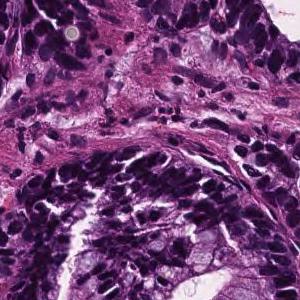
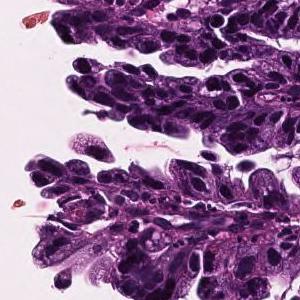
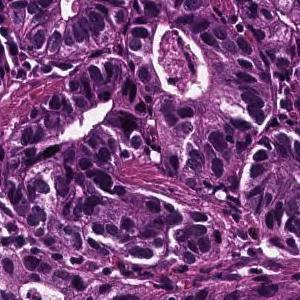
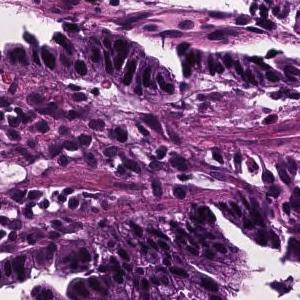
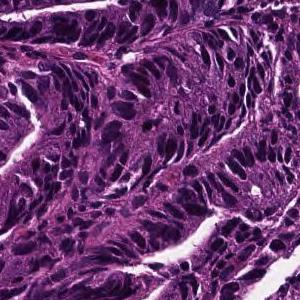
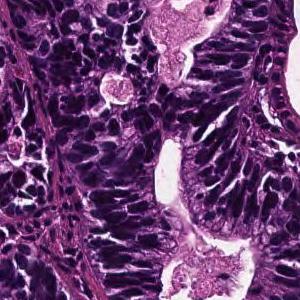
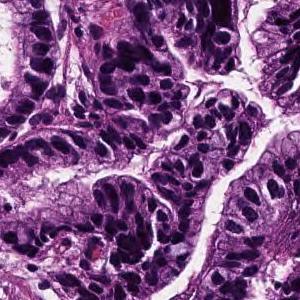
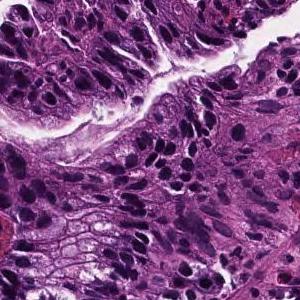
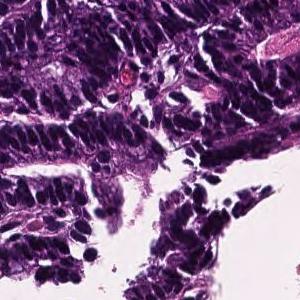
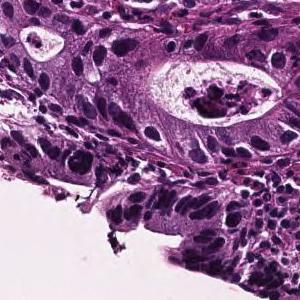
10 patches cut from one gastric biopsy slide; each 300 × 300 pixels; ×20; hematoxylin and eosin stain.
Diagnostic report for the slide these tiles come from. The report and the diagnosis cover the entire slide, so not every feature they name need be visible here, and some tissue shown may not be tumor.
In the superficial epithelium, tumor tissue that invades by forming medium-sized to small, irregular ducts is observed. Well differentiated tubular adenocarcinoma.
